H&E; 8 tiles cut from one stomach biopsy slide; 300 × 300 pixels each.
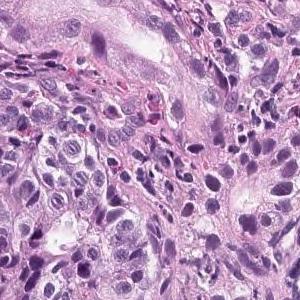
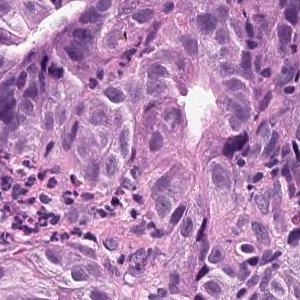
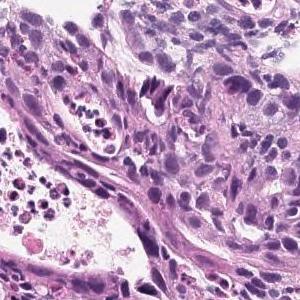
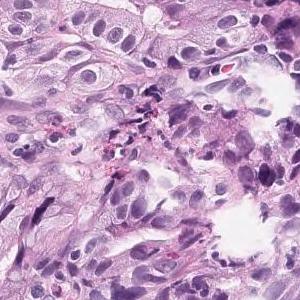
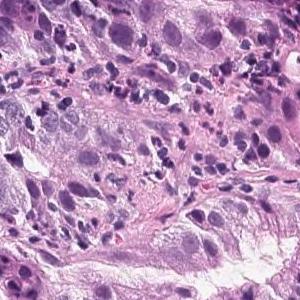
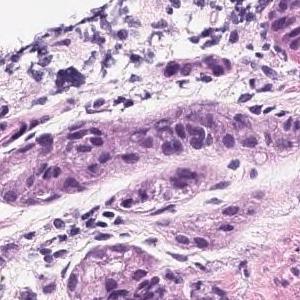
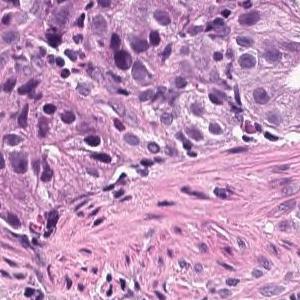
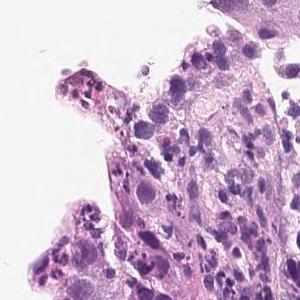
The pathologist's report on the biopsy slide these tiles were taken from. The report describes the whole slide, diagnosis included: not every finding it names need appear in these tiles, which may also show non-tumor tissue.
On the superficial epithelium, tumor tissue consisting of medium-sized to large-sized, irregular tubules partially fused and densely proliferating is observed. moderately differentiated tubular adenocarcinoma
